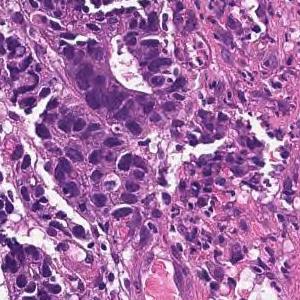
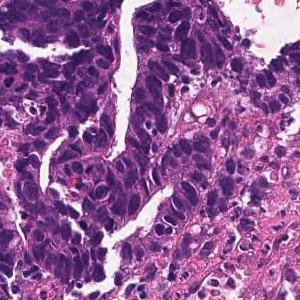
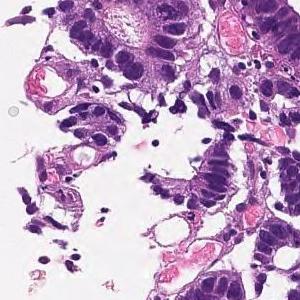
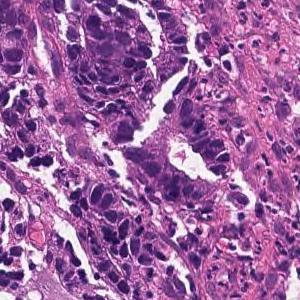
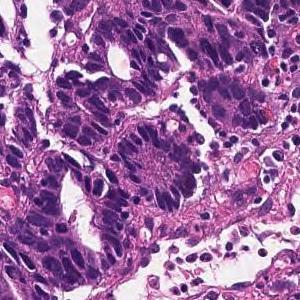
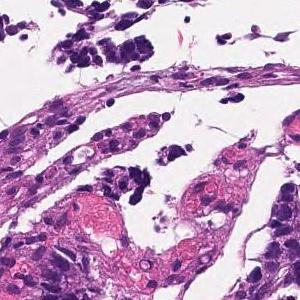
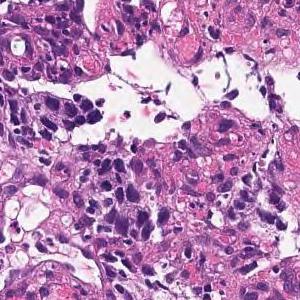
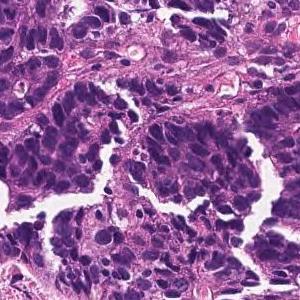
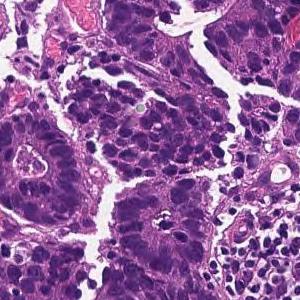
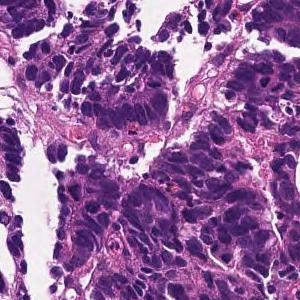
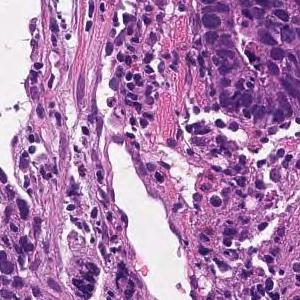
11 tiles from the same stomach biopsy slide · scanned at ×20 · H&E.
Pathology report for the slide these tiles were cut from. The report describes the whole slide, diagnosis included: not every finding it names need appear in these tiles, which may also show non-tumor tissue.
In the superficial epithelium, tumor tissue that invades by forming medium-sized to small, irregular ducts is observed. Moderately differentiated adenocarcinoma (moderately differentiated tubular adenocarcinoma).
Tumor subtype: moderately differentiated tubular adenocarcinoma.
